6 image tiles from a single gastric biopsy slide.
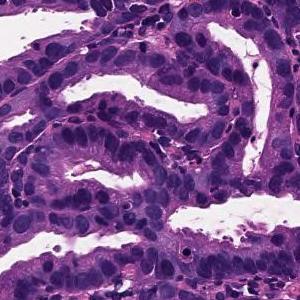
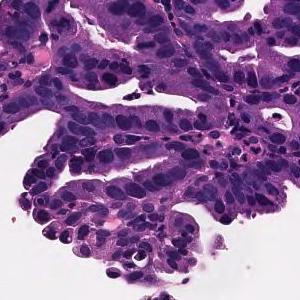
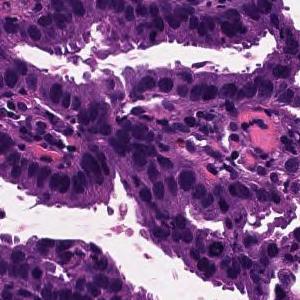
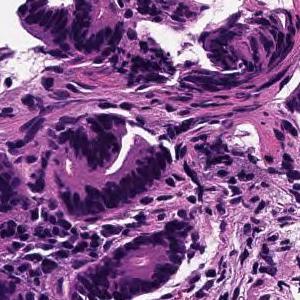
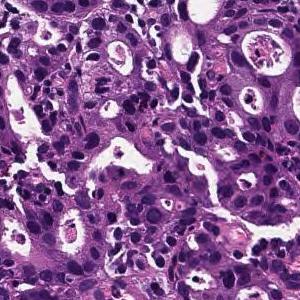
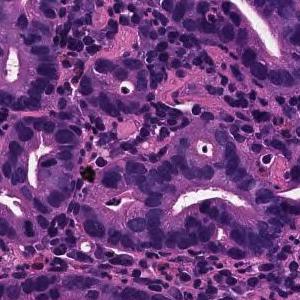
Report on the slide these tiles come from. What the report and the diagnosis say applies to the whole slide; these tiles may miss some of the features named and may include tissue that is not tumor.
On the superficial epithelium, tumor tissue is found in which medium-sized irregular gland ducts fuse with each other and infiltrate. moderately differentiated tubular adenocarcinoma
